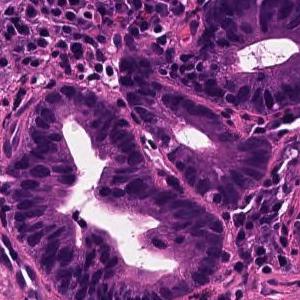
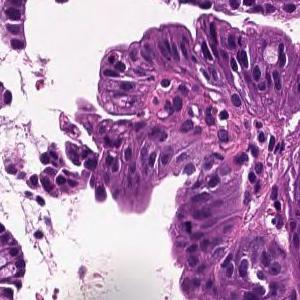
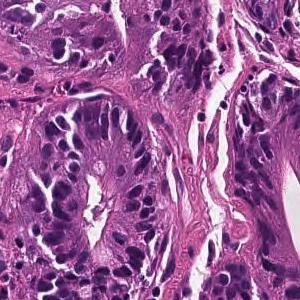
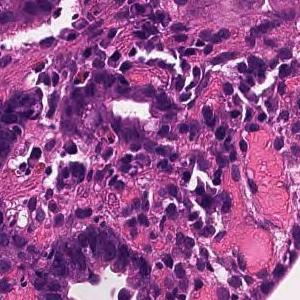
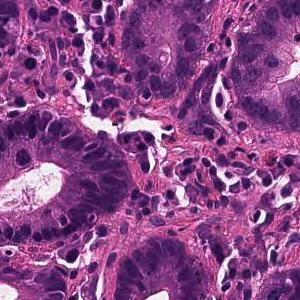
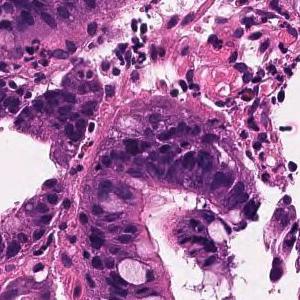
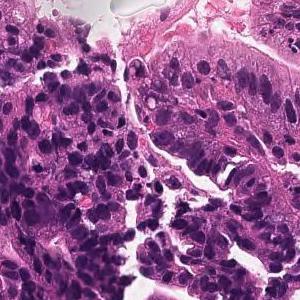
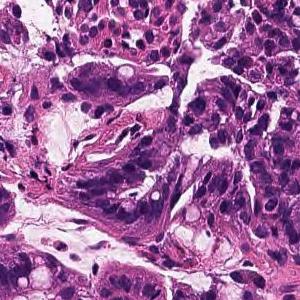
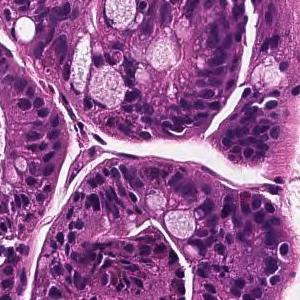
9 tiles from the same stomach biopsy slide; H&E stain.
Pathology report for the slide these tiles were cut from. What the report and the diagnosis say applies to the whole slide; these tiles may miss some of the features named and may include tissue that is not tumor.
On the superficial epithelium, tumor tissue that infiltrates by forming medium-sized papillary or small irregular ducts is observed. Papillary adenocarcinoma
